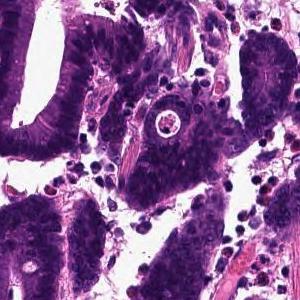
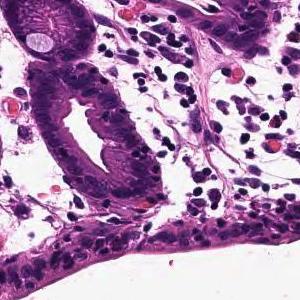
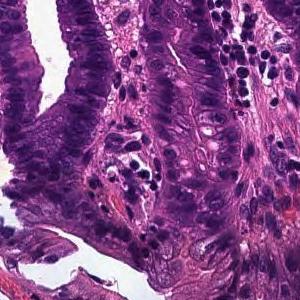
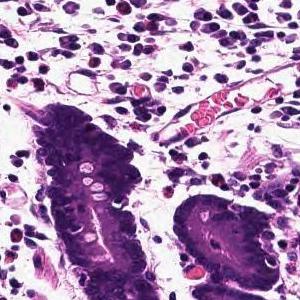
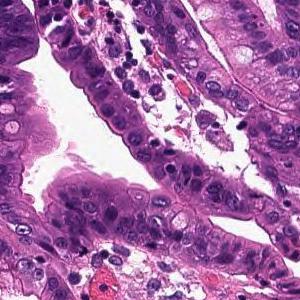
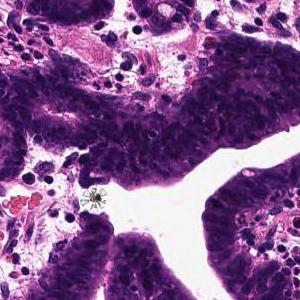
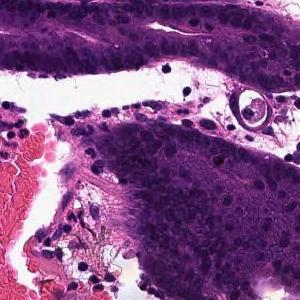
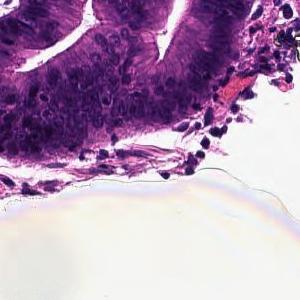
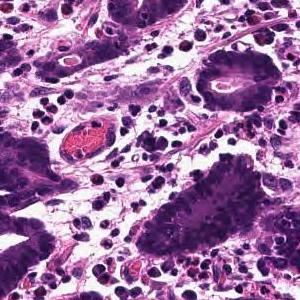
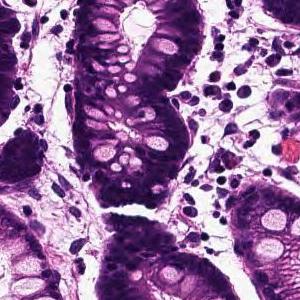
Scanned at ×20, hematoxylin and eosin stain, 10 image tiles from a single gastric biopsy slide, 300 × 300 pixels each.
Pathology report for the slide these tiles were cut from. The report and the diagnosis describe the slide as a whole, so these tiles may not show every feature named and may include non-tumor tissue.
Tumor tissue that infiltrates by forming large papillary or large irregular glandular ducts is observed confined to the mucosa. Papillary adenocarcinoma
